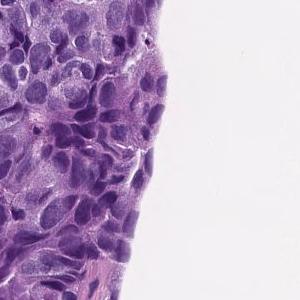
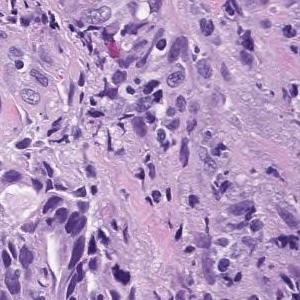
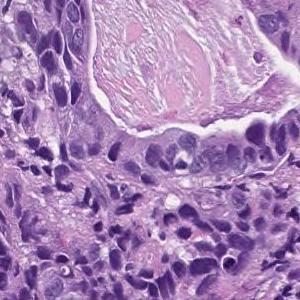
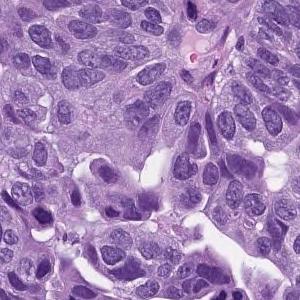
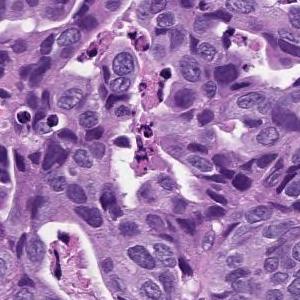
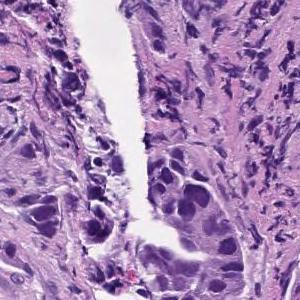
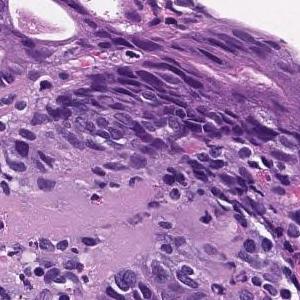
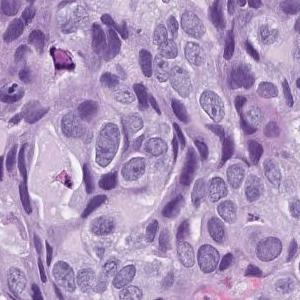
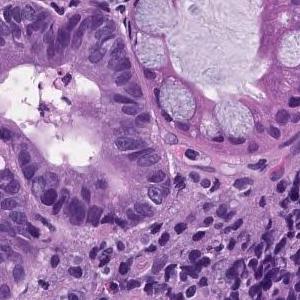
Hematoxylin and eosin stain; 9 patches cut from one gastric biopsy slide; 300 × 300 pixels each.
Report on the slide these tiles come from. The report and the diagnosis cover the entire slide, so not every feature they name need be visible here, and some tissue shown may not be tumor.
In the superficial epithelium, tumor tissue that invades by forming medium-sized to small, irregular ducts is observed. moderately differentiated tubular adenocarcinoma.
